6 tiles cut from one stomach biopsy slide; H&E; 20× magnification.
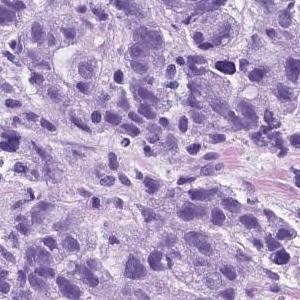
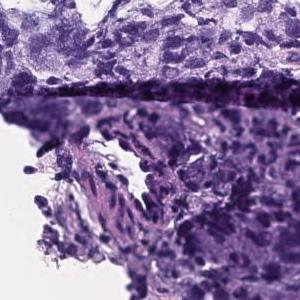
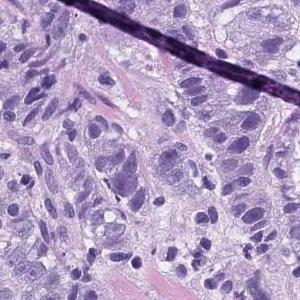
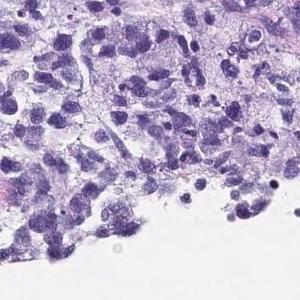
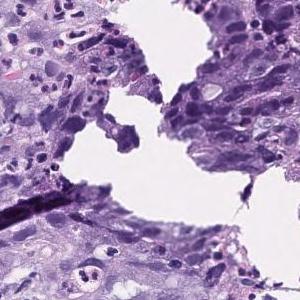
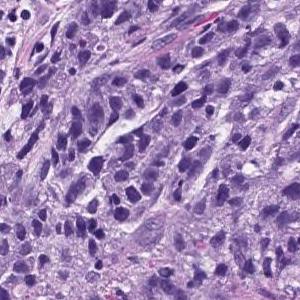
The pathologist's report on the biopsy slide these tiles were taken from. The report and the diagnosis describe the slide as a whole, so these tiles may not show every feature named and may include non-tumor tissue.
Atypical l cells with atypical nuclei forming solid vesicles or small irregular atypical ducts that proliferate in a complex manner. poorly differentiated adenocarcinoma, solid type, moderately differentiated tubular adenocarcinoma
The solid type named here is a Japanese Classification of Gastric Carcinoma category; WHO 2019 calls it tubular adenocarcinoma, poorly differentiated.
